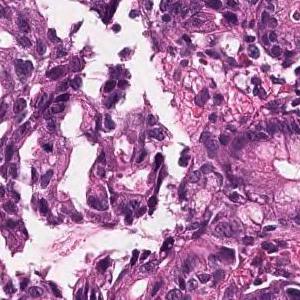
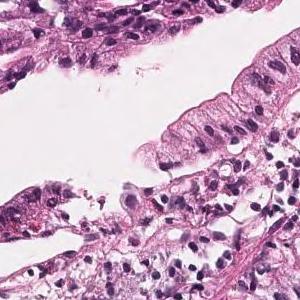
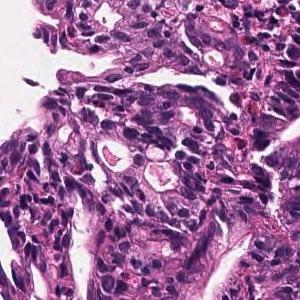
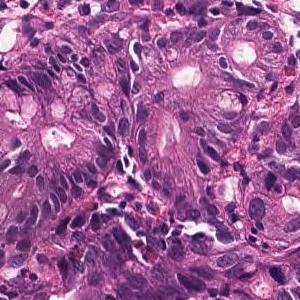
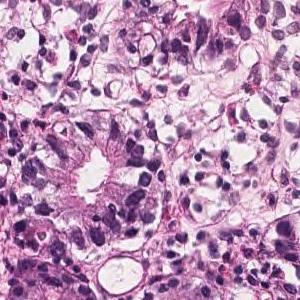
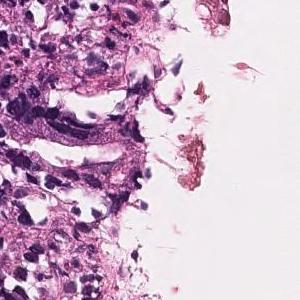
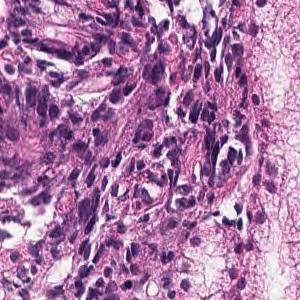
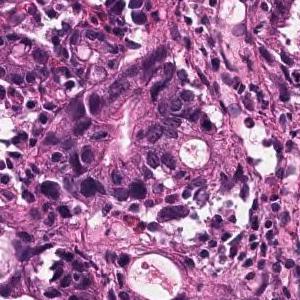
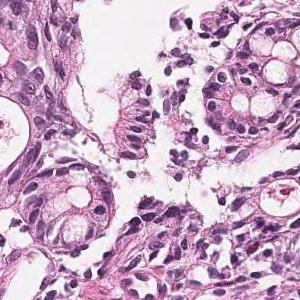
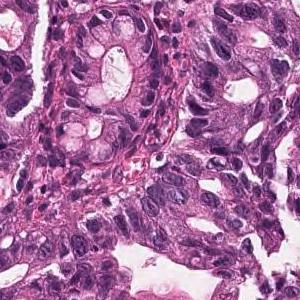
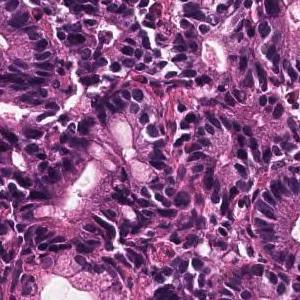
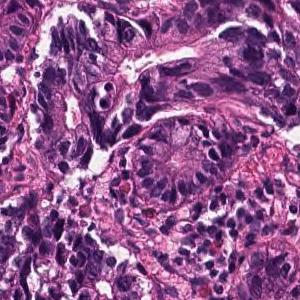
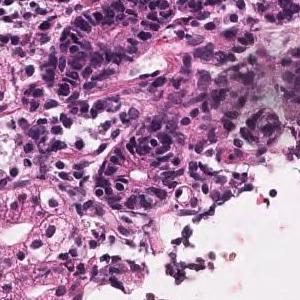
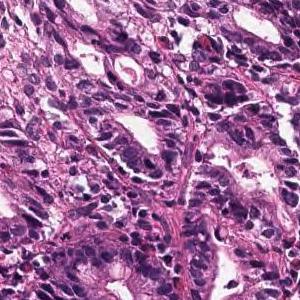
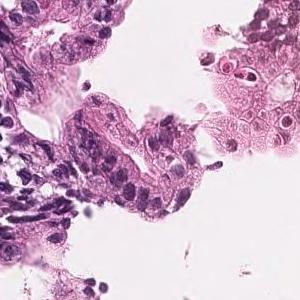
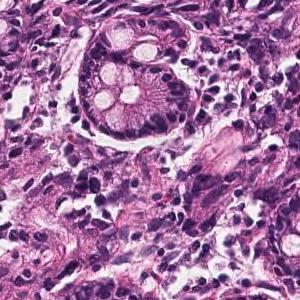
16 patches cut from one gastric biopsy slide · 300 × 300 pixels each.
Report on the slide these tiles come from. What the report and the diagnosis say applies to the whole slide; these tiles may miss some of the features named and may include tissue that is not tumor.
On the superficial epithelium, tumor tissue consisting of large, irregular glandular ducts partially fused and infiltrated is observed. Well to moderately differentiated tubular adenocarcinoma (well differentiated tubular adenocarcinoma, moderately differentiated tubular adenocarcinoma)
Classified as well to moderately differentiated tubular adenocarcinoma.
